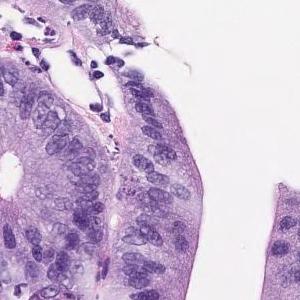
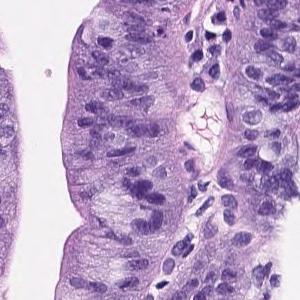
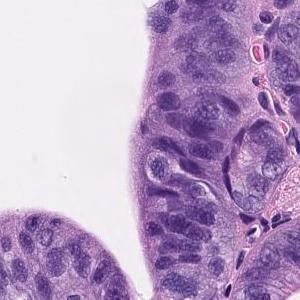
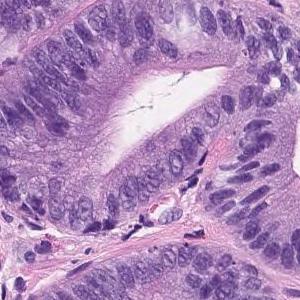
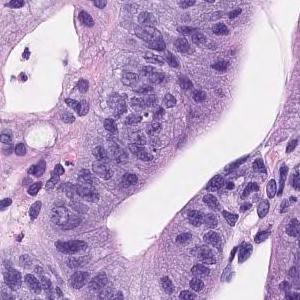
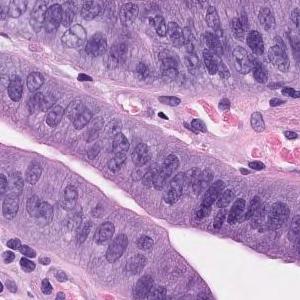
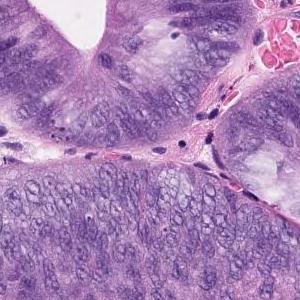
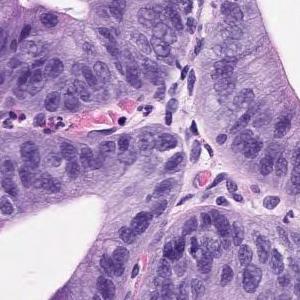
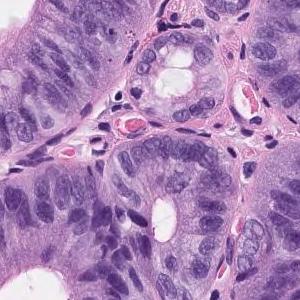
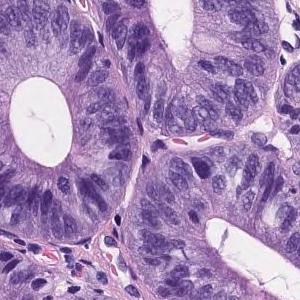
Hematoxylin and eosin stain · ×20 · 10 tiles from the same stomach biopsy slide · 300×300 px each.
The pathologist's report on the biopsy slide these tiles were taken from. Both the report and the diagnosis are for the whole slide: these tiles need not show every feature named, and some of the tissue shown may not be tumor.
On the superficial epithelium, tumor tissue consisting of images of atypical ducts of different sizes partially fused and densely proliferating is observed. Well differentiated tubular adenocarcinoma
